10 tiles from the same stomach biopsy slide; 300 × 300 pixels each.
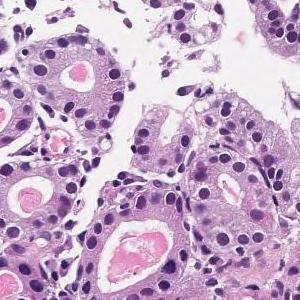
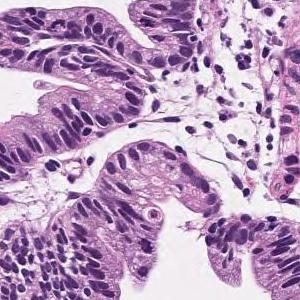
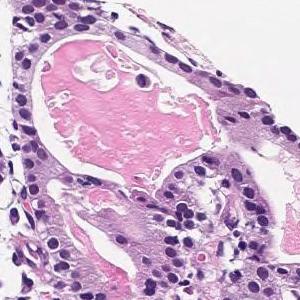
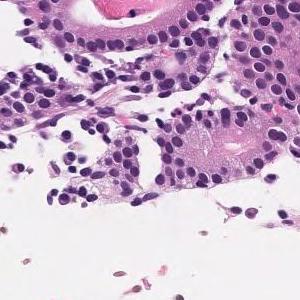
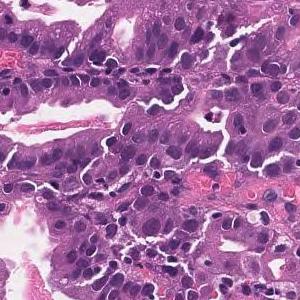
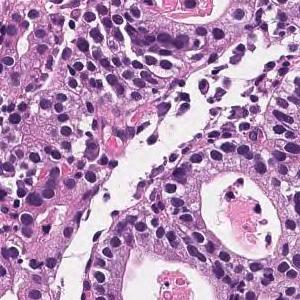
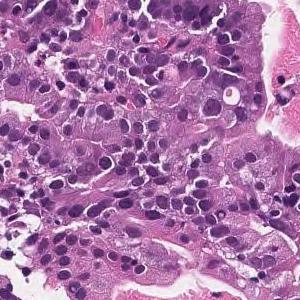
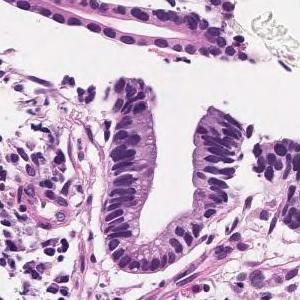
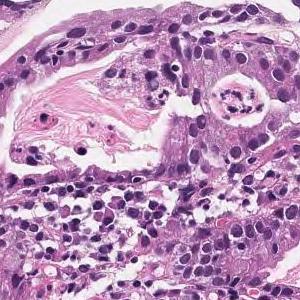
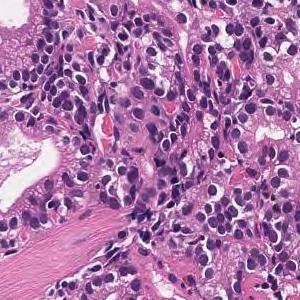
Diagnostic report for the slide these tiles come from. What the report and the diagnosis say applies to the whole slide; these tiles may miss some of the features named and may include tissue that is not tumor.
Medium to small, irregular glandular ducts are formed in the superficial epithelium, and in some cases, the glandular ducts are fused to show solid alveolar lesions and infiltrating tumor tissue is observed. Moderately to poorly differentiated adenocarcinoma.
